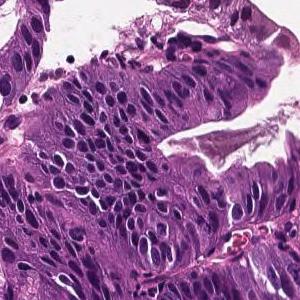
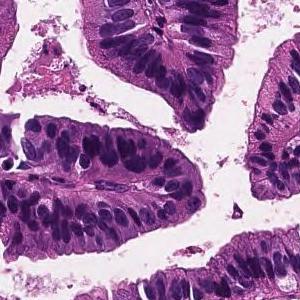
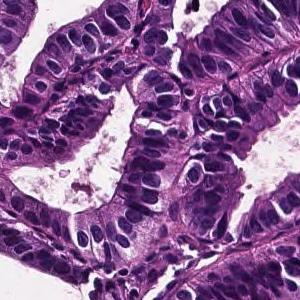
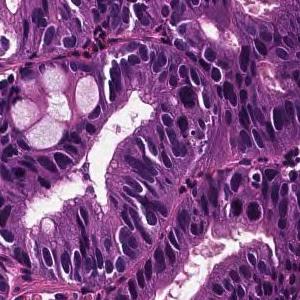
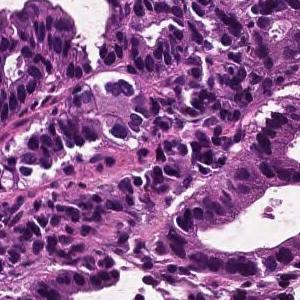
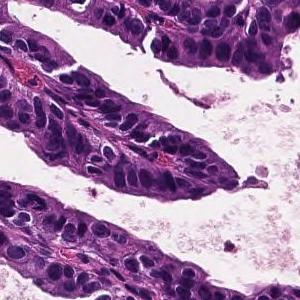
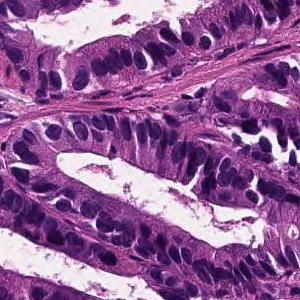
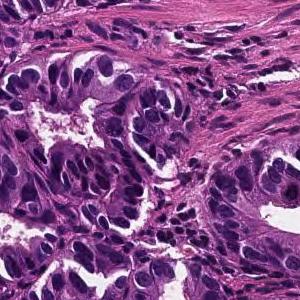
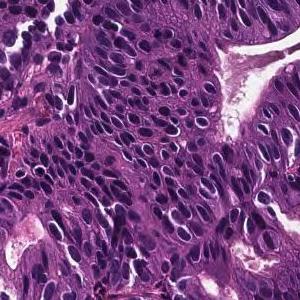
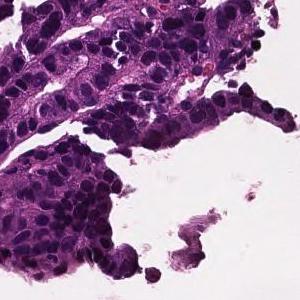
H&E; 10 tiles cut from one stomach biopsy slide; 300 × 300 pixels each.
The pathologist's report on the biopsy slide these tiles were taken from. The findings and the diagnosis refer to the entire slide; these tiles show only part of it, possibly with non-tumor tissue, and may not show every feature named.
From the superficial epithelium to the muscularis mucosae, tumor tissue consisting of medium-sized and irregular glandular ducts infiltrating is observed. Well differentiated tubular adenocarcinoma
